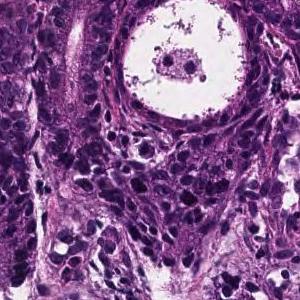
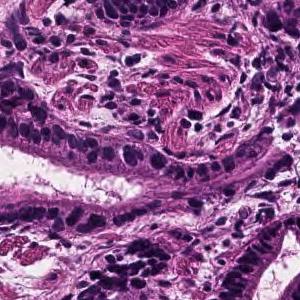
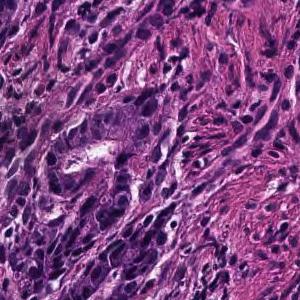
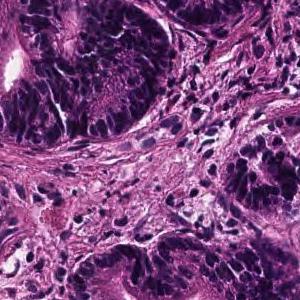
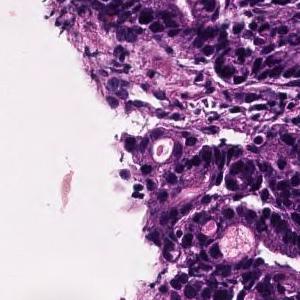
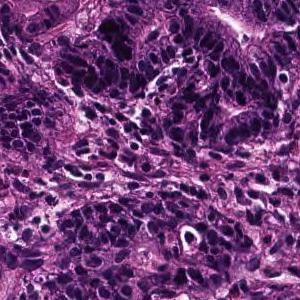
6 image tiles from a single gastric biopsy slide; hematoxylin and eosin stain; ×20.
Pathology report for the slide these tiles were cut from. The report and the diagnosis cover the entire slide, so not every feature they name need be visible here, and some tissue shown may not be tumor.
In the superficial epithelium, tumor tissue that invades by forming medium-sized to small, irregular ducts is observed. Well differentiated tubular adenocarcinoma.
